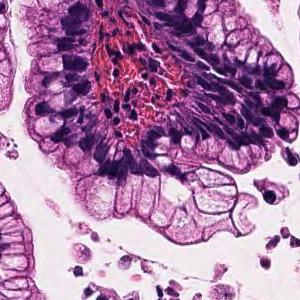
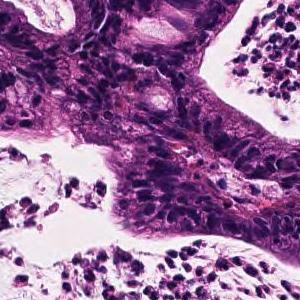
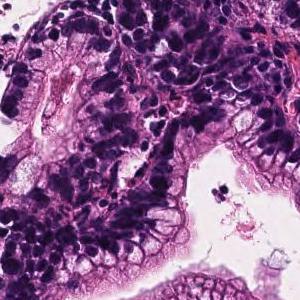
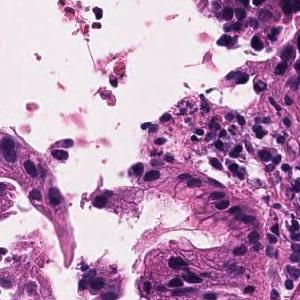
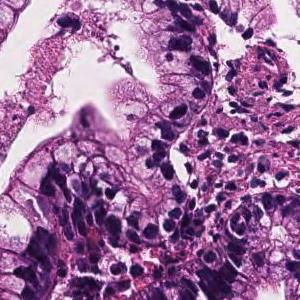
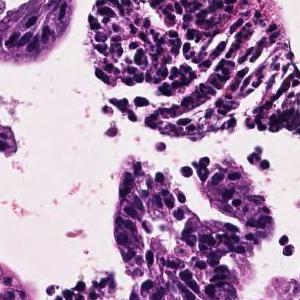
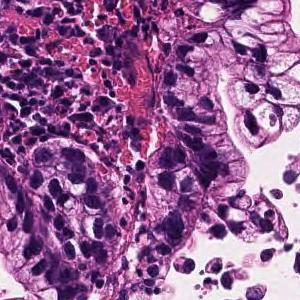
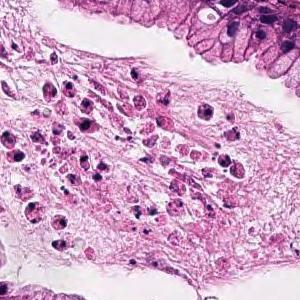
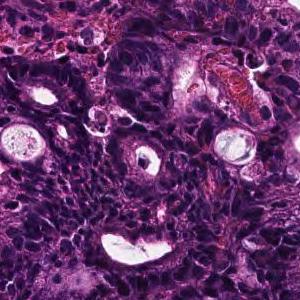
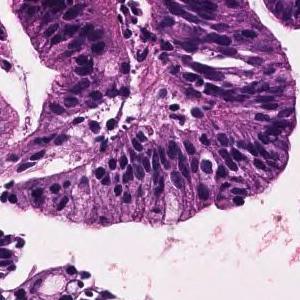
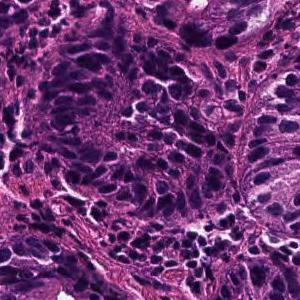
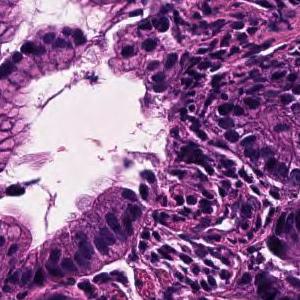
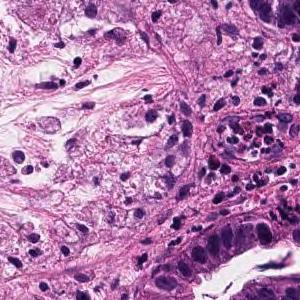
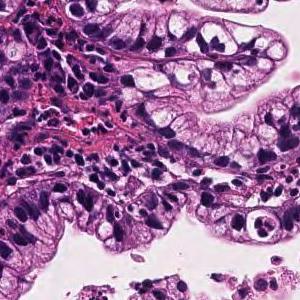
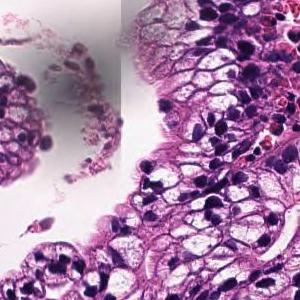
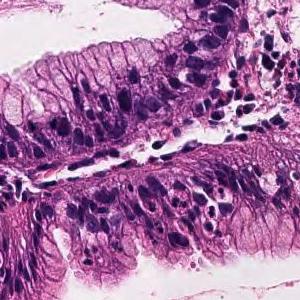
H&E, 16 image tiles from a single gastric biopsy slide.
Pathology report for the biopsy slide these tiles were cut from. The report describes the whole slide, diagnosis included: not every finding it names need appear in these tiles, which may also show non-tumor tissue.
Tumor cells are large, highly columnar, large club-shaped nuclei, and are associated with chromatin aggregation. Papillary adenocarcinoma.
